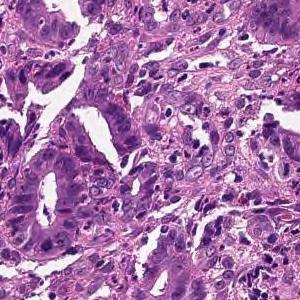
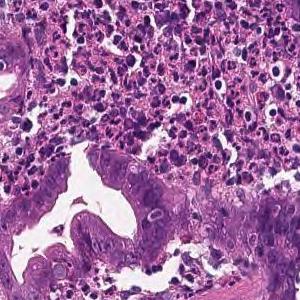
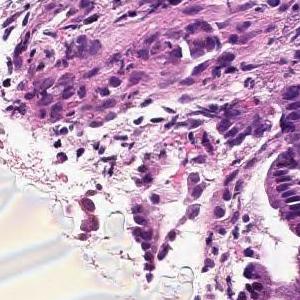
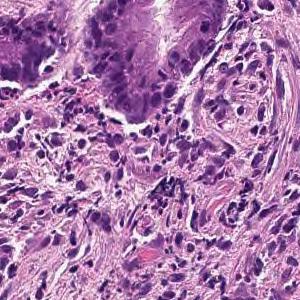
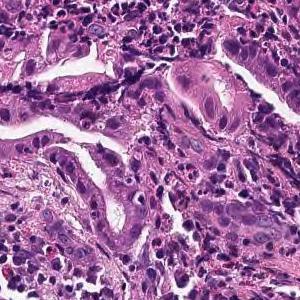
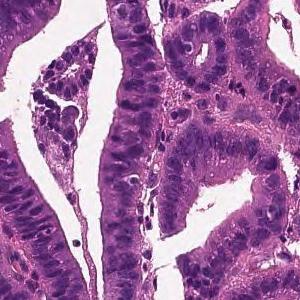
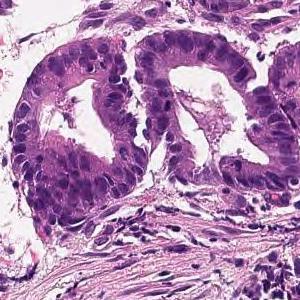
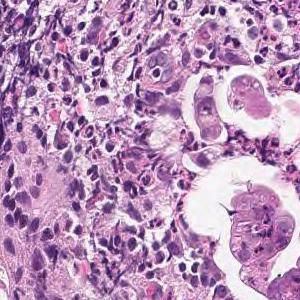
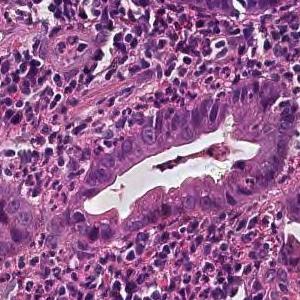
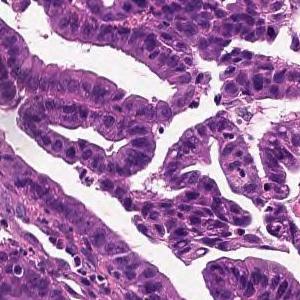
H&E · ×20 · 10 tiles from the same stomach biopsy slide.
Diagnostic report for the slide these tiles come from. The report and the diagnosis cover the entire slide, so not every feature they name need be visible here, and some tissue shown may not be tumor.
From the superficial epithelium to the muscularis mucosae, tumor tissue consisting of medium-sized and irregular glandular ducts infiltrating is observed. Well differentiated tubular adenocarcinoma
